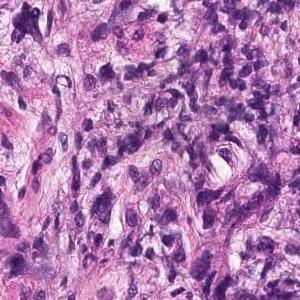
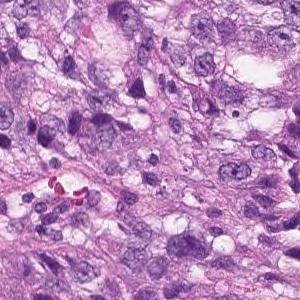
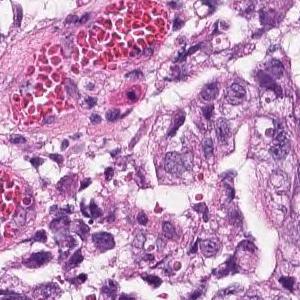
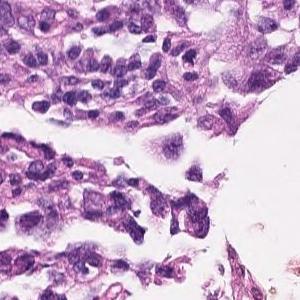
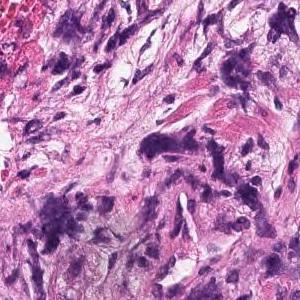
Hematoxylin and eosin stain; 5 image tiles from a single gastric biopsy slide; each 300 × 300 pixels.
Pathology report for the biopsy slide these tiles were cut from. The report and the diagnosis describe the slide as a whole, so these tiles may not show every feature named and may include non-tumor tissue.
The superficial epithelium shows a large sheet-like shape, and some tumor tissue infiltrates with small irregular ducts. Poorly differentiated adenocarcinoma, solid-type
Classified as poorly differentiated adenocarcinoma, solid type (Japanese Classification of Gastric Carcinoma). The WHO 2019 equivalent is tubular adenocarcinoma, poorly differentiated.
